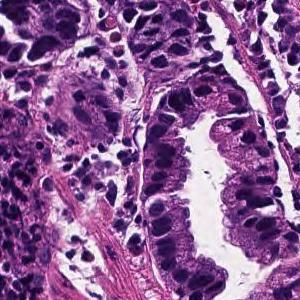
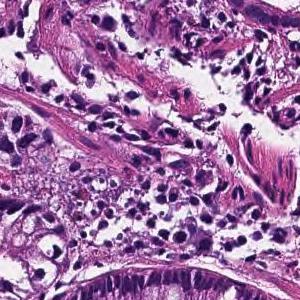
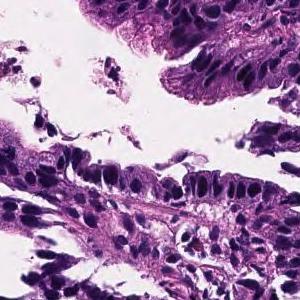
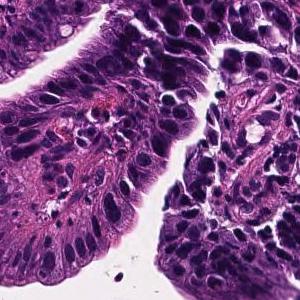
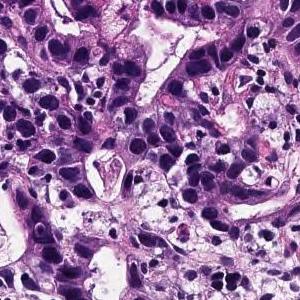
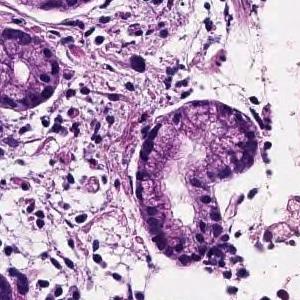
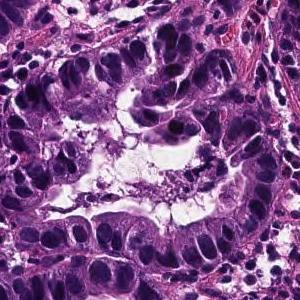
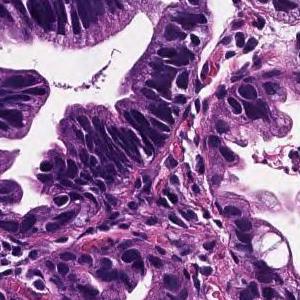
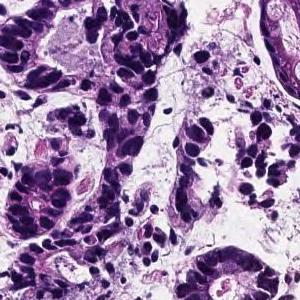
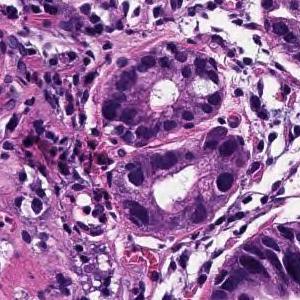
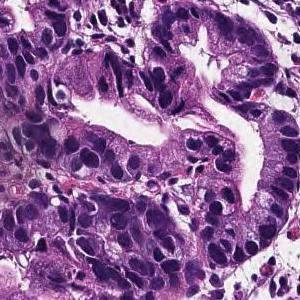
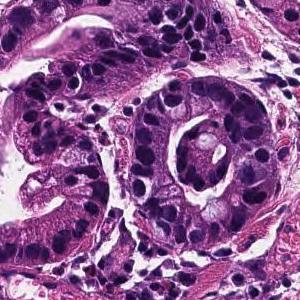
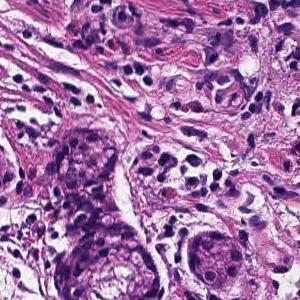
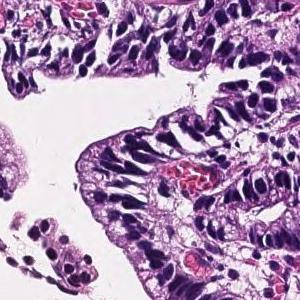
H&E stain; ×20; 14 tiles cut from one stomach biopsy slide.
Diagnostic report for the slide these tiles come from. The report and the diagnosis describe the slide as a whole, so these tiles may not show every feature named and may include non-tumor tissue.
Tumor cells are large, highly columnar, large club-shaped nuclei, and are associated with chromatin aggregation. Papillary adenocarcinoma.
